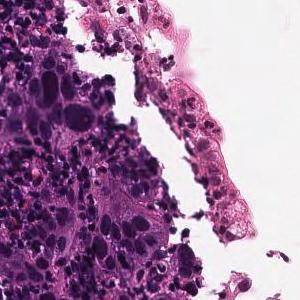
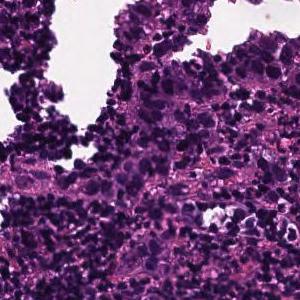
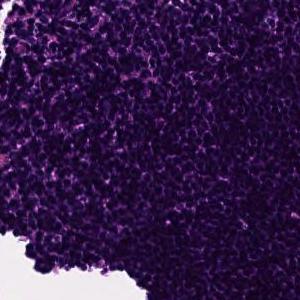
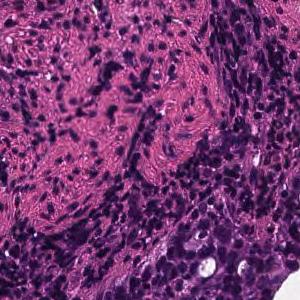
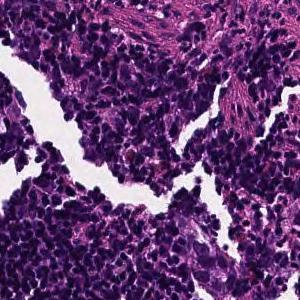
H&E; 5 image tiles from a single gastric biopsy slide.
Pathology report for the slide these tiles were cut from. The findings and the diagnosis refer to the entire slide; these tiles show only part of it, possibly with non-tumor tissue, and may not show every feature named.
Tumor tissue consisting of cord-like or small, irregular glandular ducts fused and infiltrated is observed in the superficial epithelium. Poorly differentiated adenocarcinoma, non-solid type
The term "non-solid type" comes from the Japanese Classification of Gastric Carcinoma.
